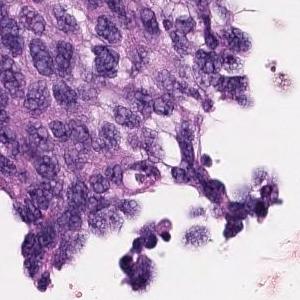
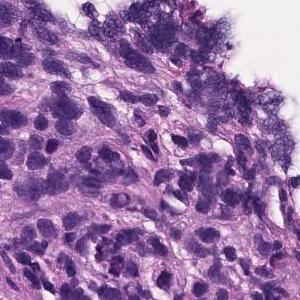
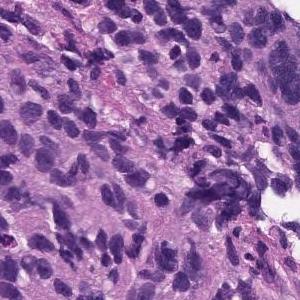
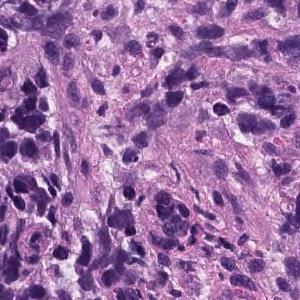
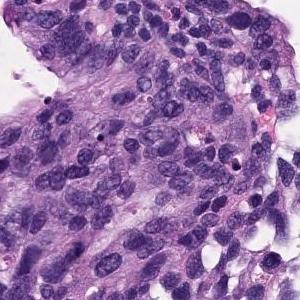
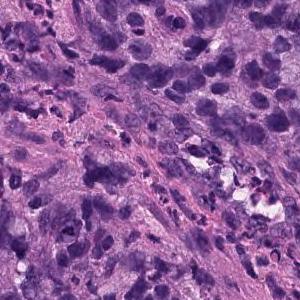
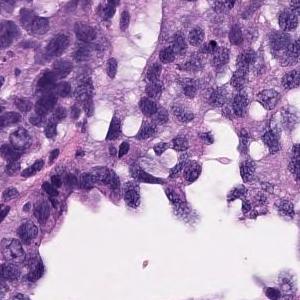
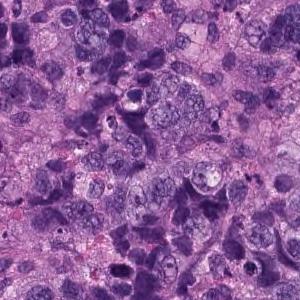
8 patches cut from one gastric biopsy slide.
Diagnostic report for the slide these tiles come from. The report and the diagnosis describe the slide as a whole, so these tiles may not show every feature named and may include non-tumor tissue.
Atypical l cells with atypical nuclei under the mucosa growing in isolation and scattered. Poorly differentiated adenocarcinoma (poorly differentiated adenocarcinoma, non-solid type)
Tumor subtype: poorly differentiated adenocarcinoma, non-solid type.
The non-solid type named here is a Japanese Classification of Gastric Carcinoma category.
